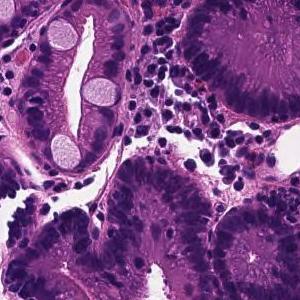
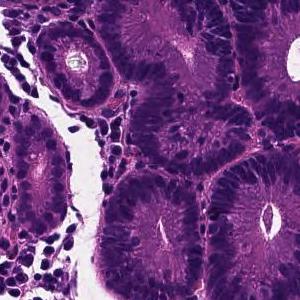
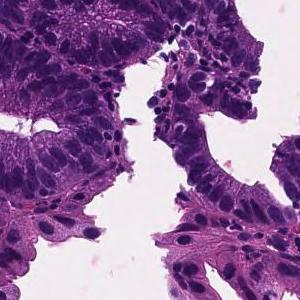
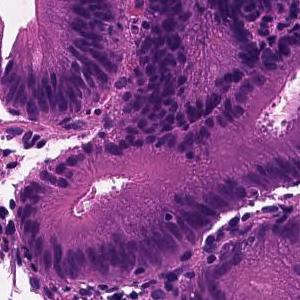
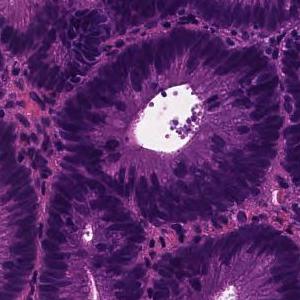
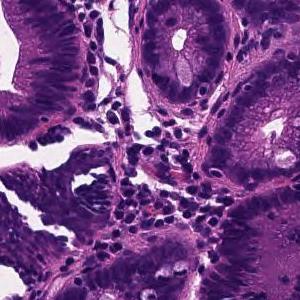
6 tiles from the same stomach biopsy slide · 300×300 px each · H&E.
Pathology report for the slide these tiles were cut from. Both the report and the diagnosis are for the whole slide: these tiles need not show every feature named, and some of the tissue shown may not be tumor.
Tumor tissue in which medium to small irregular ducts infiltrate and proliferate in the submucosa can be seen in the epithelium. Well differentiated tubular adenocarcinoma
